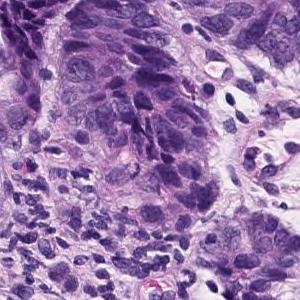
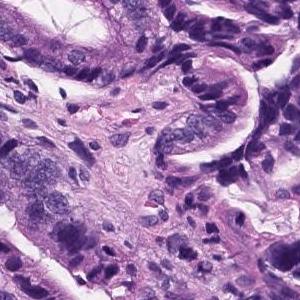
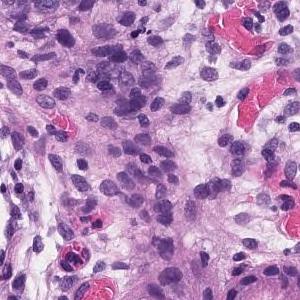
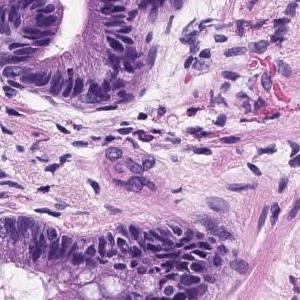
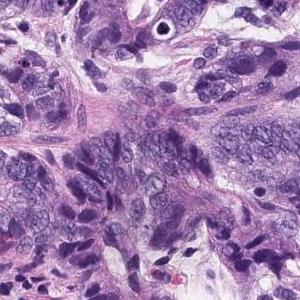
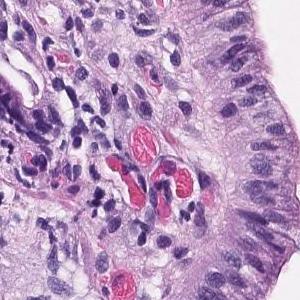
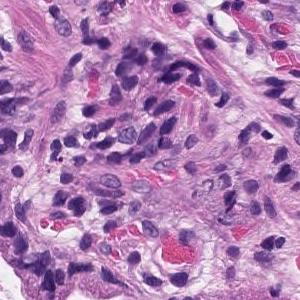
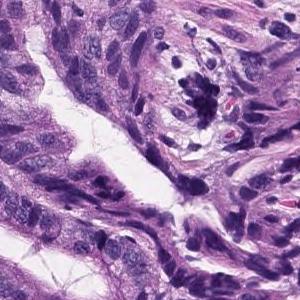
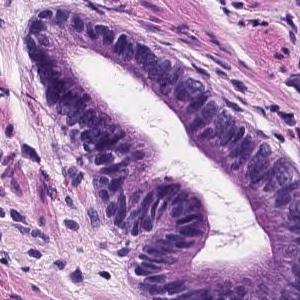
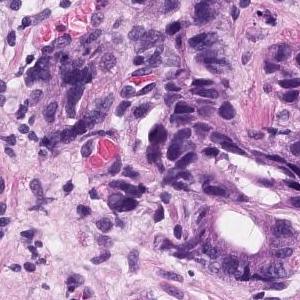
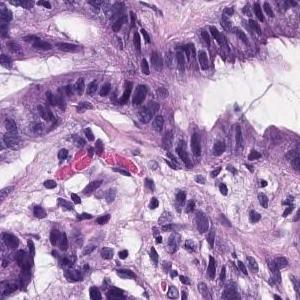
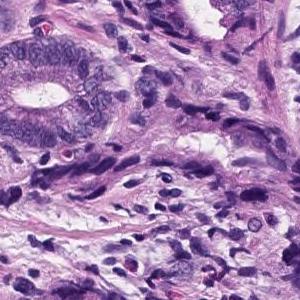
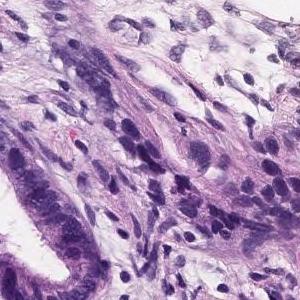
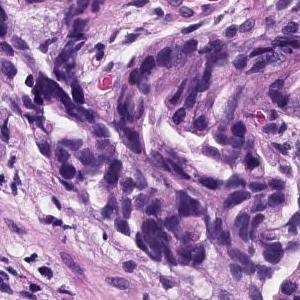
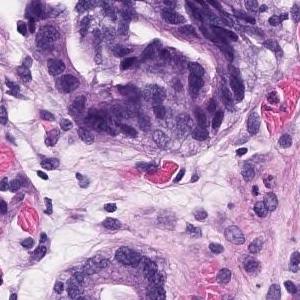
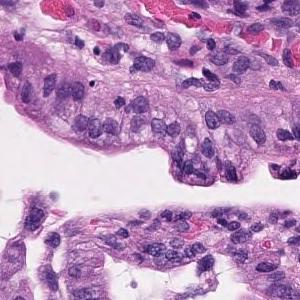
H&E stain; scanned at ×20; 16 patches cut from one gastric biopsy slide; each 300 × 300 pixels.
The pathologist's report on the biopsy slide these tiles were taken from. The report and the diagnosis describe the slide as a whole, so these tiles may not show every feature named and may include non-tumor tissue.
In the superficial epithelium, tumor tissue that invades by forming medium-sized to small, irregular ducts is observed. Moderately differentiated adenocarcinoma.
Subtype: Moderately differentiated tubular adenocarcinoma.
